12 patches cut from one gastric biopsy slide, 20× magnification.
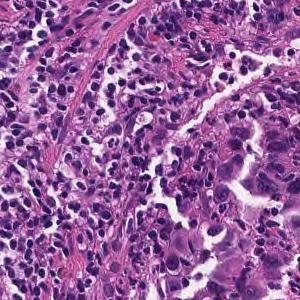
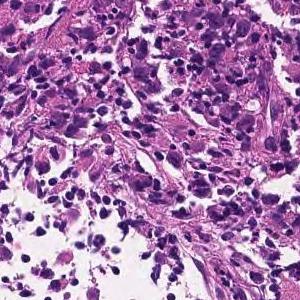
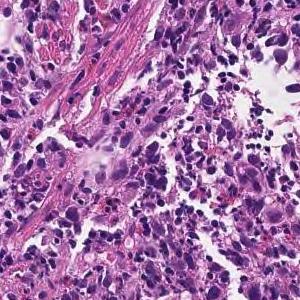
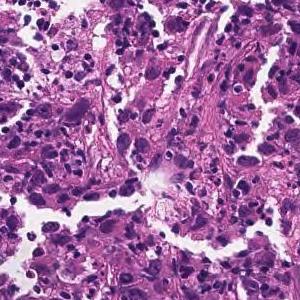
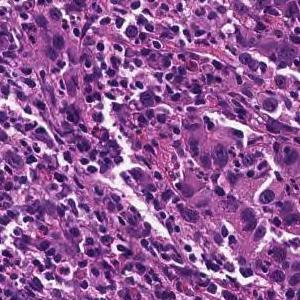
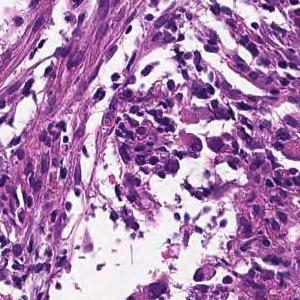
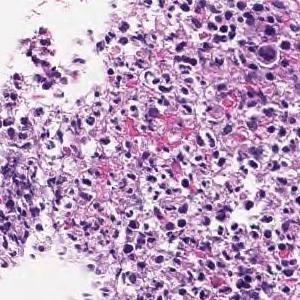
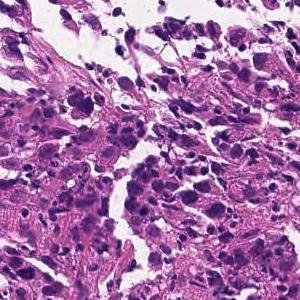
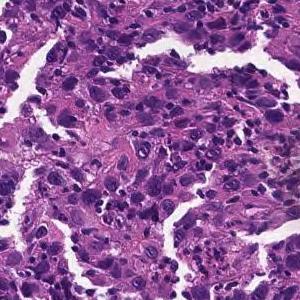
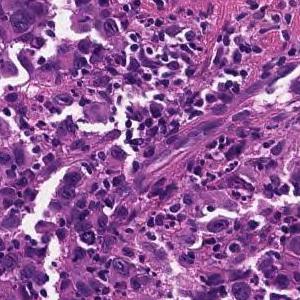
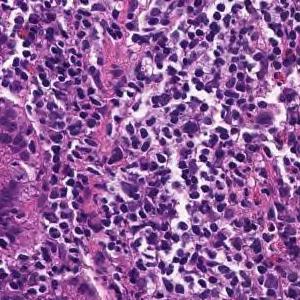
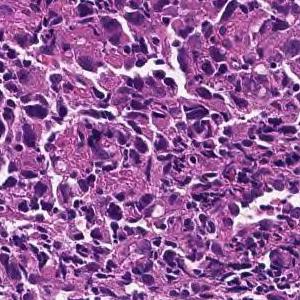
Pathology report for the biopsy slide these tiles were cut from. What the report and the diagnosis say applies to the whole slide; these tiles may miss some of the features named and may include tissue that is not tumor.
The superficial epithelium shows a large sheet-like shape, and some tumor tissue infiltrates with small irregular ducts. Poorly differentiated adenocarcinoma, solid-type (poorly differentiated adenocarcinoma, solid type)
Classified as poorly differentiated adenocarcinoma, solid type (Japanese Classification of Gastric Carcinoma). The WHO 2019 equivalent is tubular adenocarcinoma, poorly differentiated.
